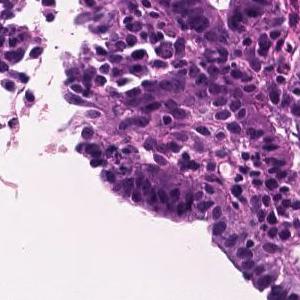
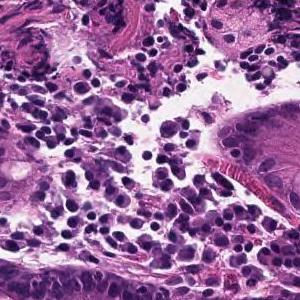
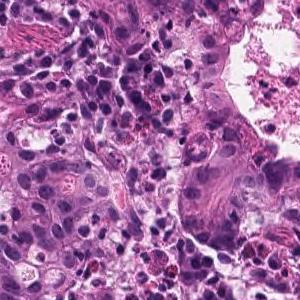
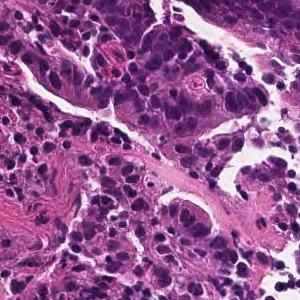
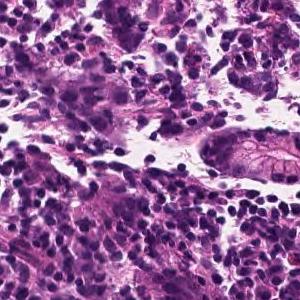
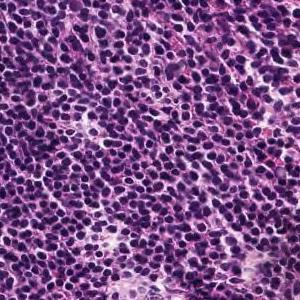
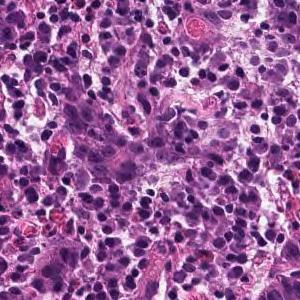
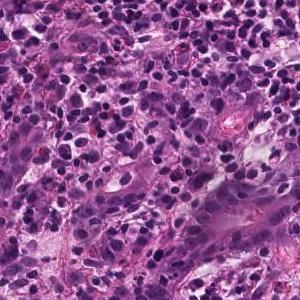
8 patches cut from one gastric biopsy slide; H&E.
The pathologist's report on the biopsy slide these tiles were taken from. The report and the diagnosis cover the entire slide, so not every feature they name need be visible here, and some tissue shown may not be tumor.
Tumor tissue consisting of medium-sized, cord-like or irregular glandular infiltration is observed in the superficial epithelium. Poorly differentiated adenocarcinoma, non-solid type or moderately differentiated tubular adenocarcinoma
Labeled in the dataset as poorly differentiated adenocarcinoma, non-solid type.
The non-solid type named here is a Japanese Classification of Gastric Carcinoma category.
